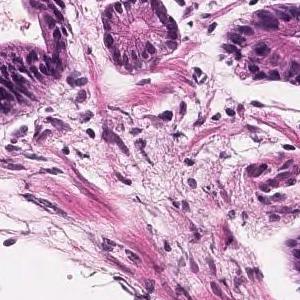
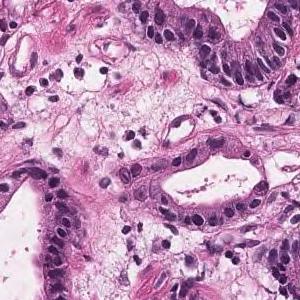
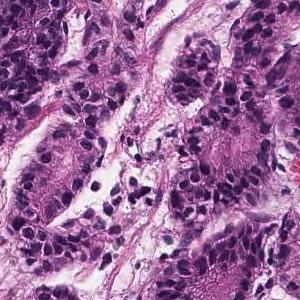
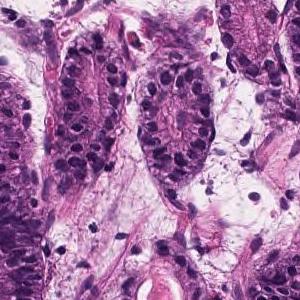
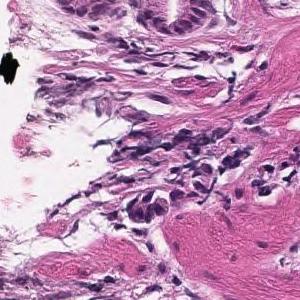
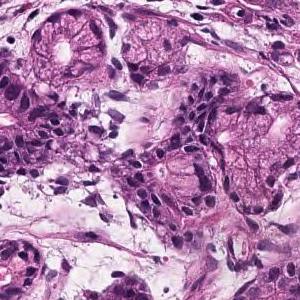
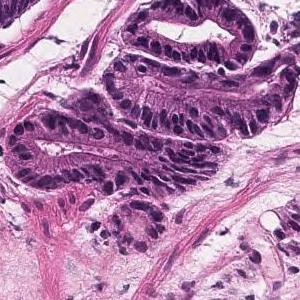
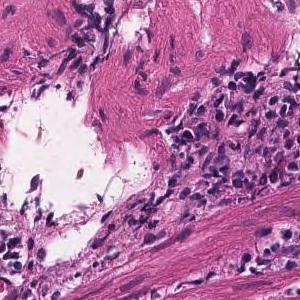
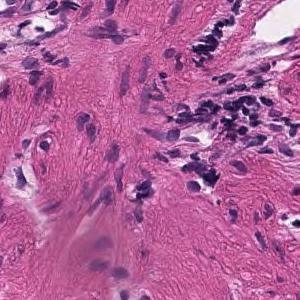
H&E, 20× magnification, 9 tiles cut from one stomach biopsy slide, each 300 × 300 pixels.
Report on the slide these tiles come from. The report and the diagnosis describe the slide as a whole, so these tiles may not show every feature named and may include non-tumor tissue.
Tumor tissue with atypical epithelium showing irregular ductal or sieving ductal structure and proliferating is observed. Well to moderately differentiated tubular adenocarcinoma (well differentiated tubular adenocarcinoma-moderately differentiated tubular adenocarcinoma)
Tumor subtype: well to moderately differentiated tubular adenocarcinoma.
